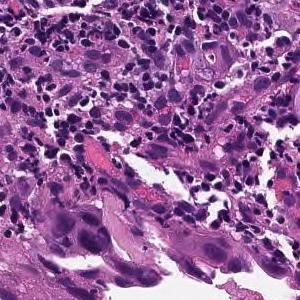
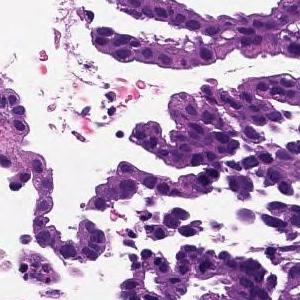
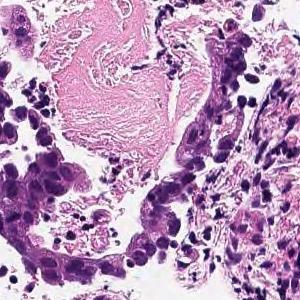
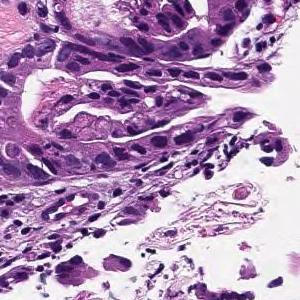
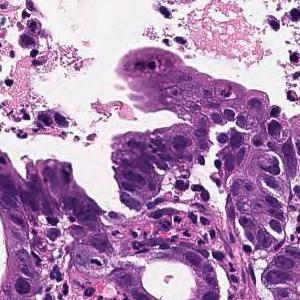
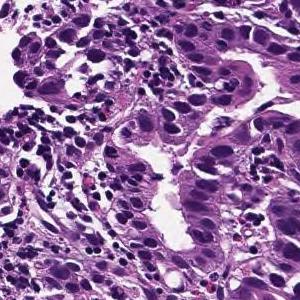
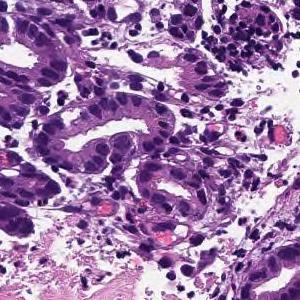
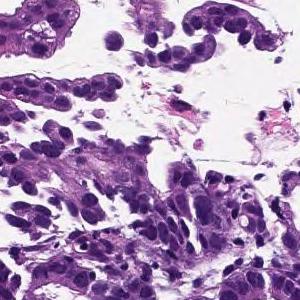
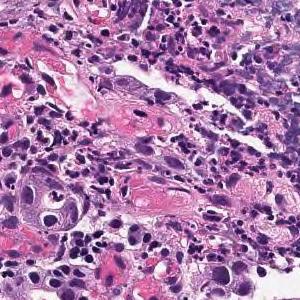
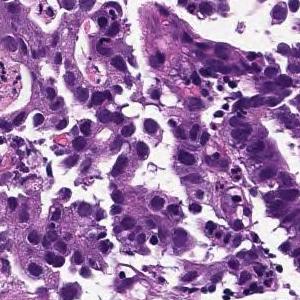
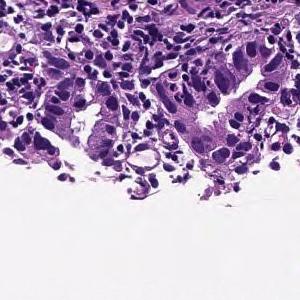
11 tiles cut from one stomach biopsy slide, 300×300 px each, hematoxylin and eosin stain.
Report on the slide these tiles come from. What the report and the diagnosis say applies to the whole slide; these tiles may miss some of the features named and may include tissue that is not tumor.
In the superficial epithelium, tumor tissue that invades by forming medium-sized to small, irregular ducts is observed. moderately differentiated tubular adenocarcinoma.
